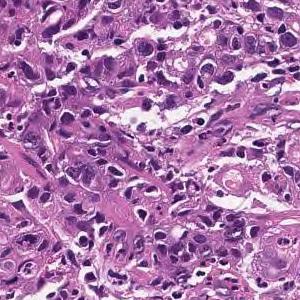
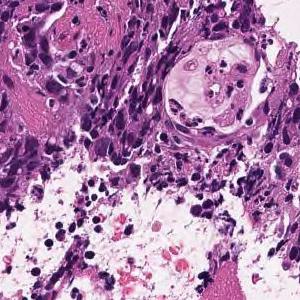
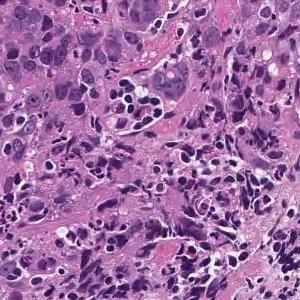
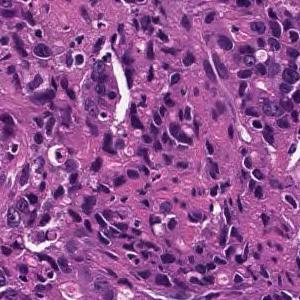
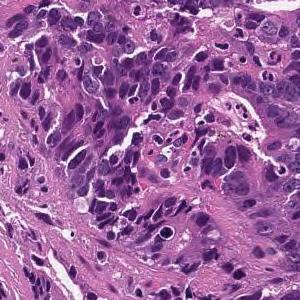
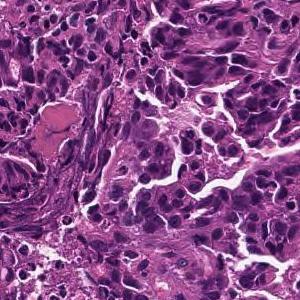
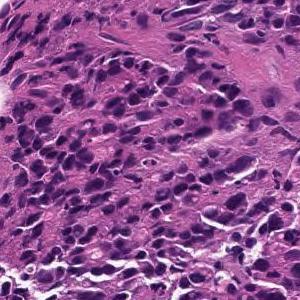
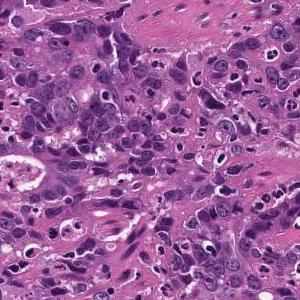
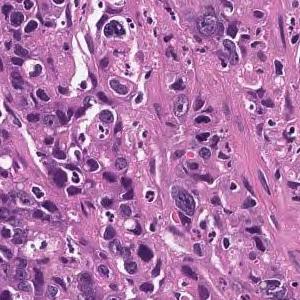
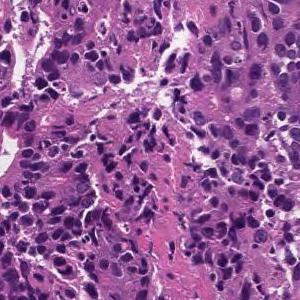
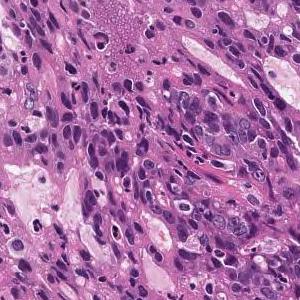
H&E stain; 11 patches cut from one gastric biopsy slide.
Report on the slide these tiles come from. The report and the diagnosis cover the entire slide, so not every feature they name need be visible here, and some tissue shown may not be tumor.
In the superficial epithelium, tumor tissue that invades by forming medium-sized to small, irregular ducts is observed. moderately differentiated tubular adenocarcinoma.
